H&E; 20× magnification; 11 patches cut from one gastric biopsy slide.
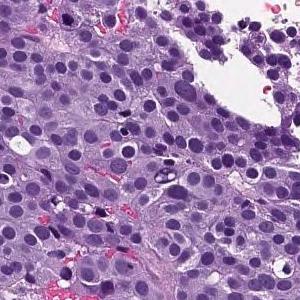
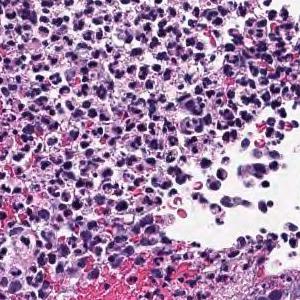
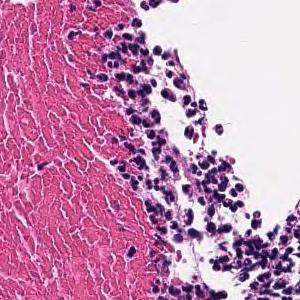
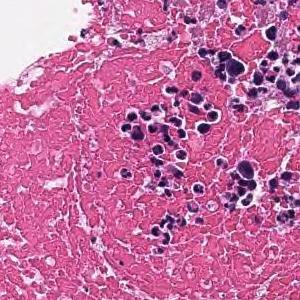
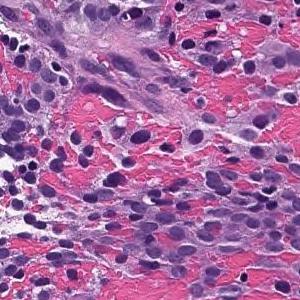
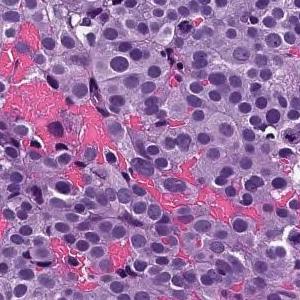
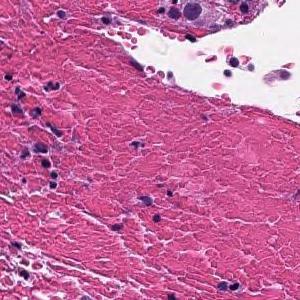
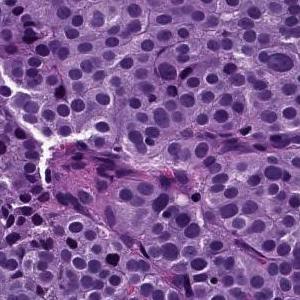
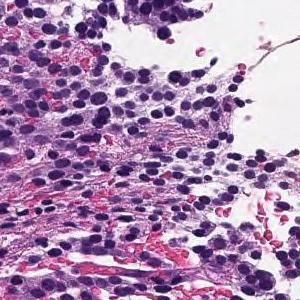
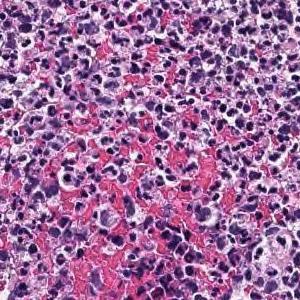
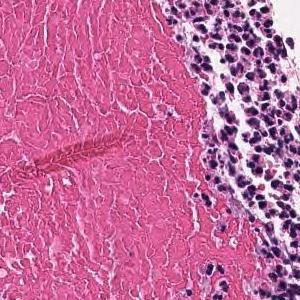
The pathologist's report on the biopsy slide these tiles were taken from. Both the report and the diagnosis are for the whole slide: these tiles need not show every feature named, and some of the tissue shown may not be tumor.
The superficial epithelium shows a large sheet-like shape, and some tumor tissue infiltrates with small irregular ducts. Poorly differentiated adenocarcinoma, solid-type
Subtype: Poorly differentiated adenocarcinoma, solid type (Japanese Classification of Gastric Carcinoma). The WHO 2019 equivalent is tubular adenocarcinoma, poorly differentiated.
